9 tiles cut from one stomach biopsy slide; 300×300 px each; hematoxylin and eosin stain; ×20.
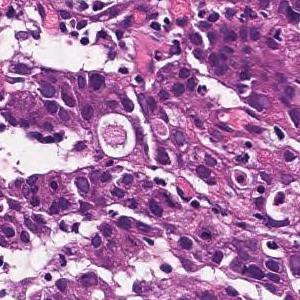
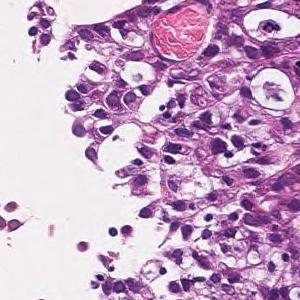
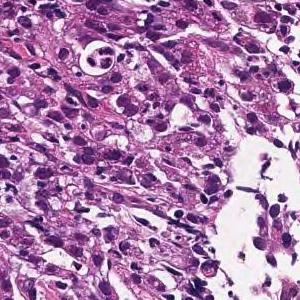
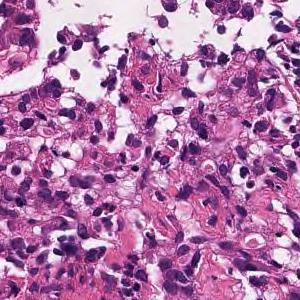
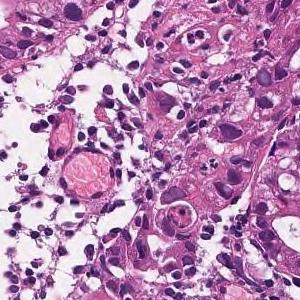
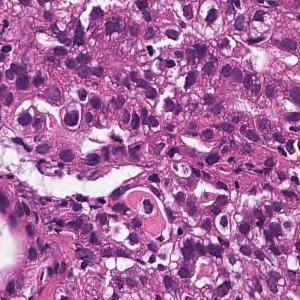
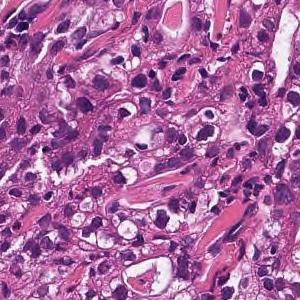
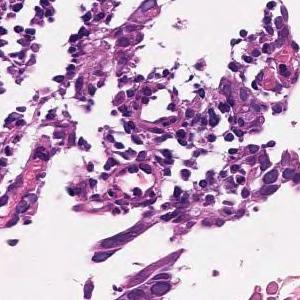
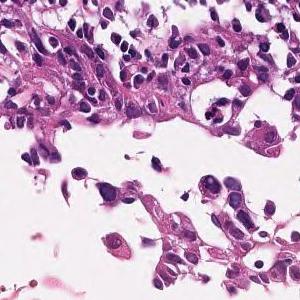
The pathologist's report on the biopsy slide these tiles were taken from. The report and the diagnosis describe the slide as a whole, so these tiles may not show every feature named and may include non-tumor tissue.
Tumor tissue consisting of cord-like or small, irregular glandular ducts fused and infiltrated is observed in the superficial epithelium. Poorly differentiated adenocarcinoma, non-solid type
"Non-solid type" is a category of the Japanese Classification of Gastric Carcinoma.
